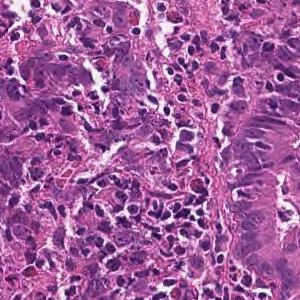
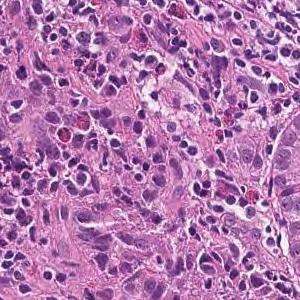
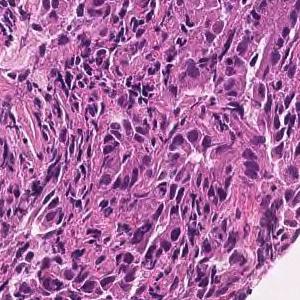
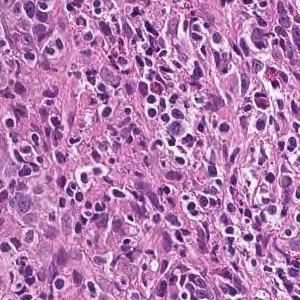
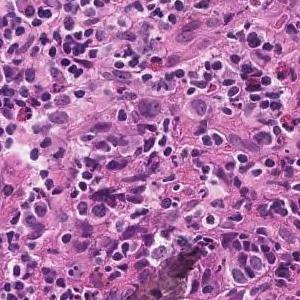
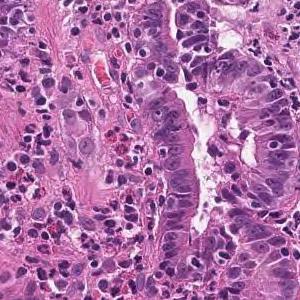
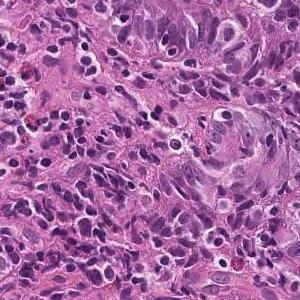
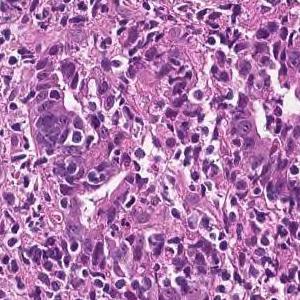
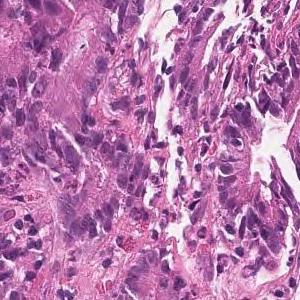
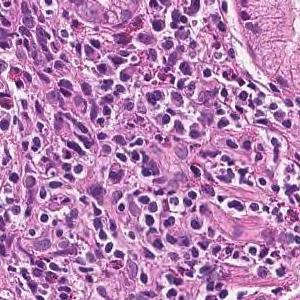
10 image tiles from a single gastric biopsy slide · 300 × 300 pixels each · scanned at ×20 · H&E.
The pathologist's report on the biopsy slide these tiles were taken from. Both the report and the diagnosis are for the whole slide: these tiles need not show every feature named, and some of the tissue shown may not be tumor.
Tumor tissue consisting of medium-sized, cord-like or irregular glandular infiltration is observed in the superficial epithelium. Poorly differentiated adenocarcinoma, non-solid type or moderately differentiated tubular adenocarcinoma
The dataset labels this slide poorly differentiated adenocarcinoma, non-solid type.
"Non-solid type" is a category of the Japanese Classification of Gastric Carcinoma.
